11 patches cut from one gastric biopsy slide; each 300 × 300 pixels; 20× magnification.
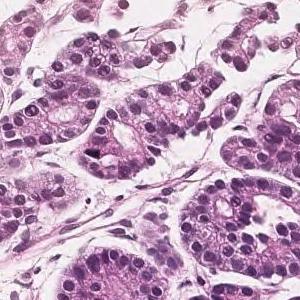
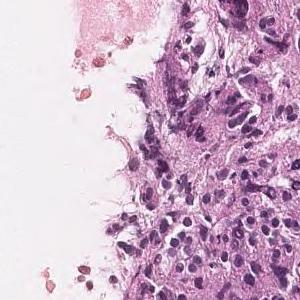
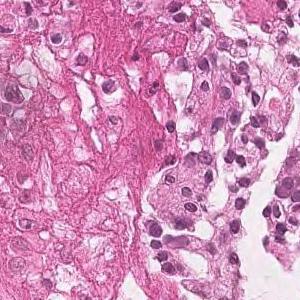
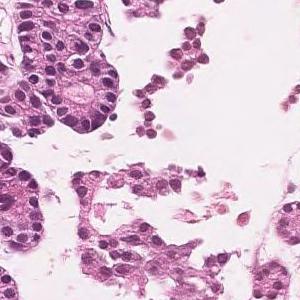
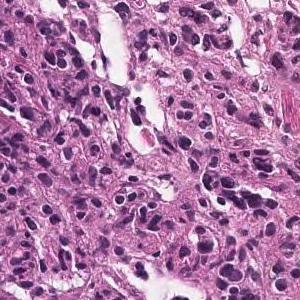
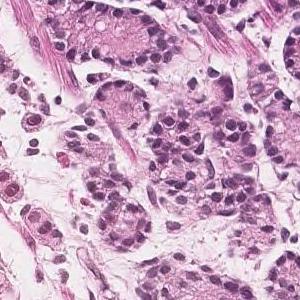
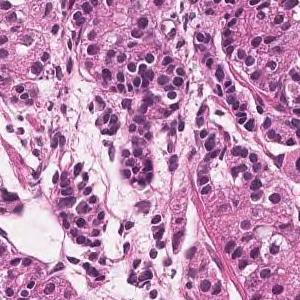
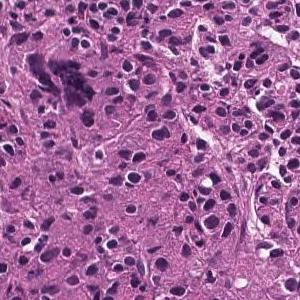
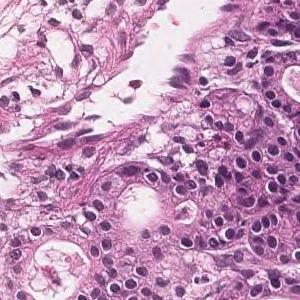
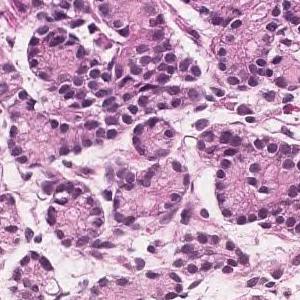
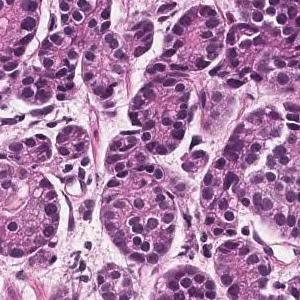
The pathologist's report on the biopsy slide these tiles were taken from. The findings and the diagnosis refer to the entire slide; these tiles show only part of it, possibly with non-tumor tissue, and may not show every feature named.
In the superficial epithelium, tumor tissue that invades by forming medium-sized to small, irregular ducts is observed. Moderately differentiated adenocarcinoma.
Histological subtype: Moderately differentiated tubular adenocarcinoma.
